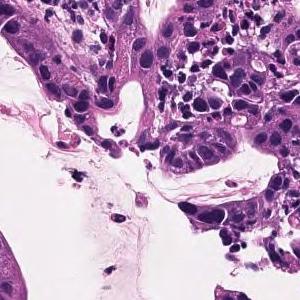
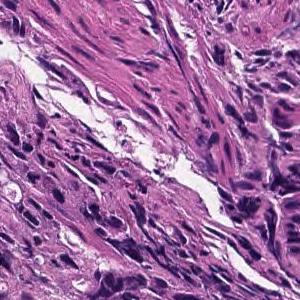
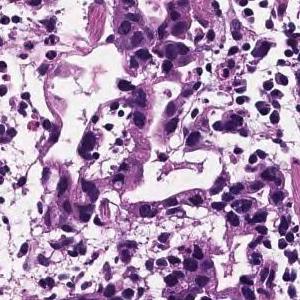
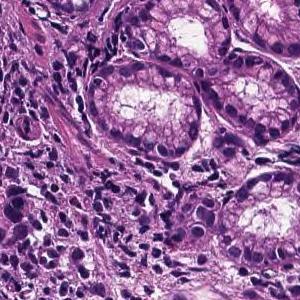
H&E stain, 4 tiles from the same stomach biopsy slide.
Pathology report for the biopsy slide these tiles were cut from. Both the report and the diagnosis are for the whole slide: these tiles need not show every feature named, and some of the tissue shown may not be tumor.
In the superficial epithelium, tumor tissue that invades by forming medium-sized to small, irregular ducts is observed. moderately differentiated tubular adenocarcinoma.
